10 patches cut from one gastric biopsy slide; H&E stain; ×20.
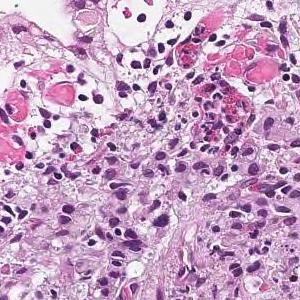
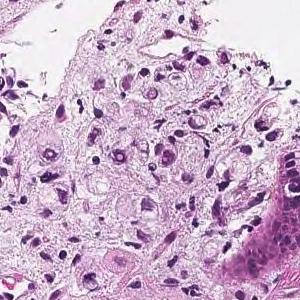
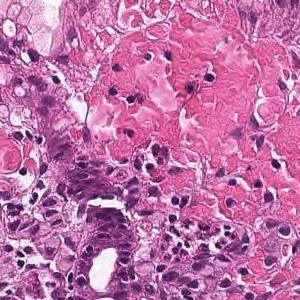
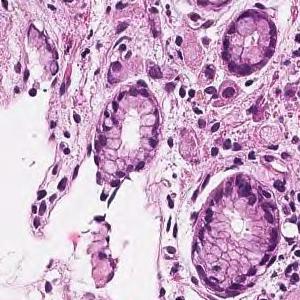
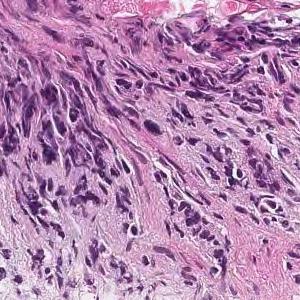
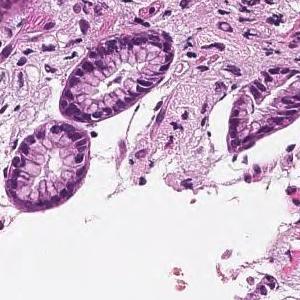
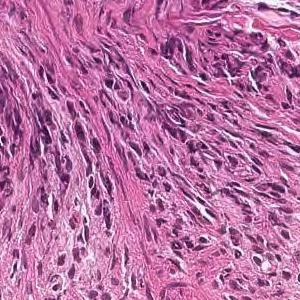
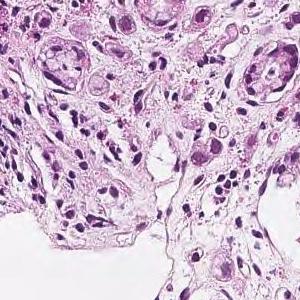
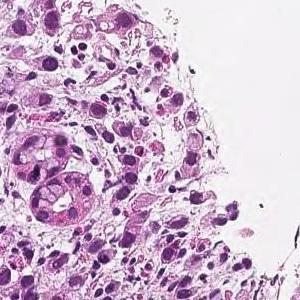
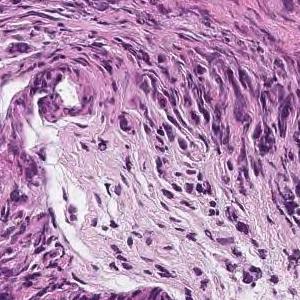
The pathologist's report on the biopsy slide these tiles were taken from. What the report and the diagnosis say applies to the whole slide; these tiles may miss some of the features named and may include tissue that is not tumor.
Tumor tissue consisting of cord-like or small, irregular glandular ducts fused and infiltrated is observed in the superficial epithelium. Poorly differentiated adenocarcinoma, non-solid type
The term "non-solid type" comes from the Japanese Classification of Gastric Carcinoma.
